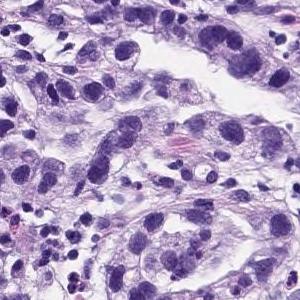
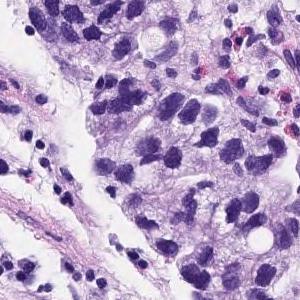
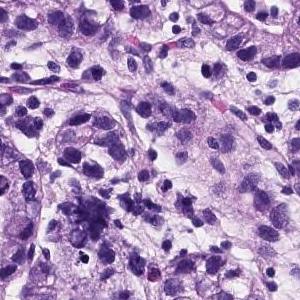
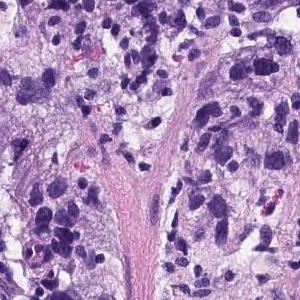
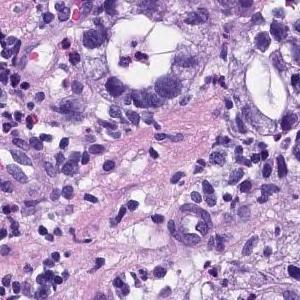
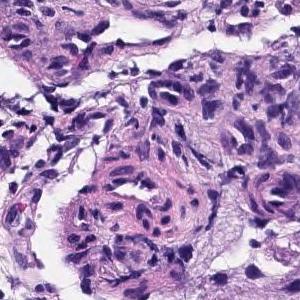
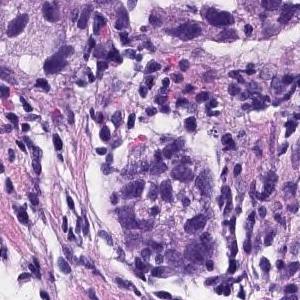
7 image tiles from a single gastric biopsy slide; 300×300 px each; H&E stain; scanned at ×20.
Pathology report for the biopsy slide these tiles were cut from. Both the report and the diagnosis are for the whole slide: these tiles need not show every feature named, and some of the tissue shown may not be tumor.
Medium to small, irregular glandular ducts are formed in the superficial epithelium, and in some cases, the glandular ducts are fused to show solid alveolar lesions and infiltrating tumor tissue is observed. Poorly differentiated adenocarcinoma, Moderately differentiated adenocarcinoma.
Dataset label: moderately differentiated tubular adenocarcinoma.
